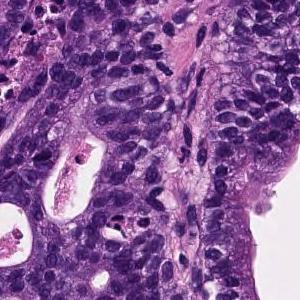
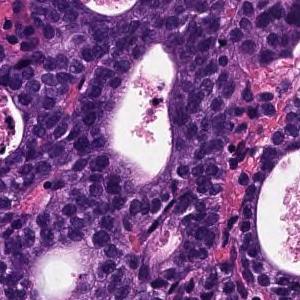
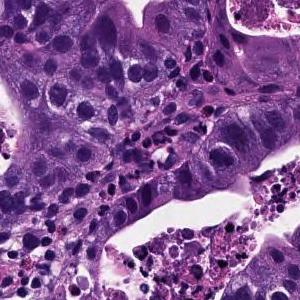
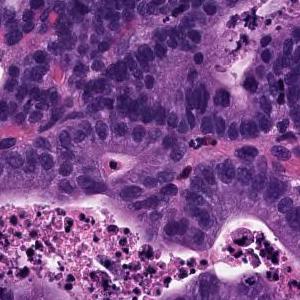
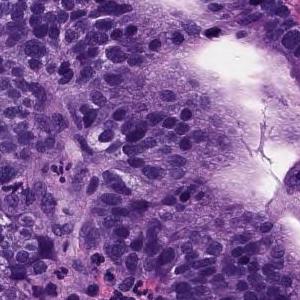
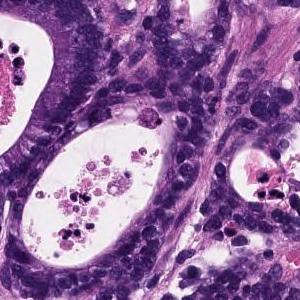
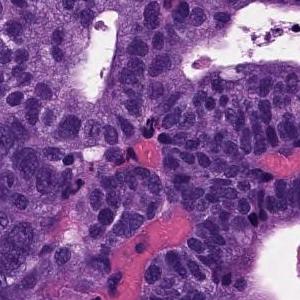
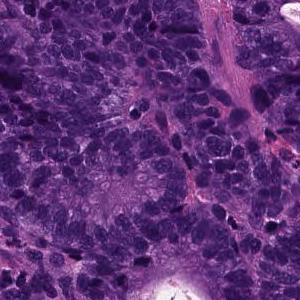
Scanned at ×20 · H&E · 8 tiles cut from one stomach biopsy slide · each 300 × 300 pixels.
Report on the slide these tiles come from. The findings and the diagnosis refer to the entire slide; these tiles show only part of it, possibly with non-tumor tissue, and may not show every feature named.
From the superficial epithelium to the muscularis mucosae, tumor tissue consisting of medium-sized and irregular glandular ducts infiltrating is observed. Well differentiated tubular adenocarcinoma
